H&E stain · 8 tiles cut from one stomach biopsy slide.
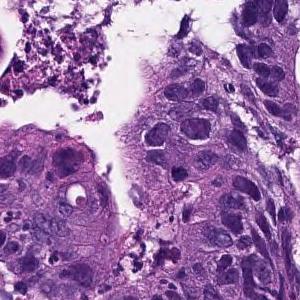
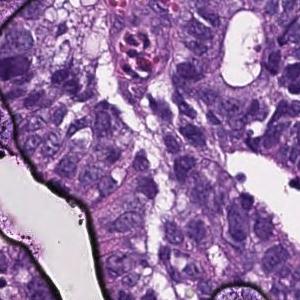
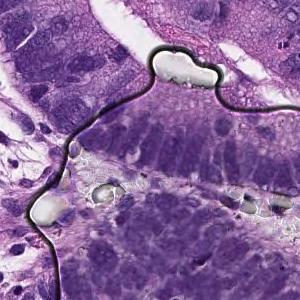
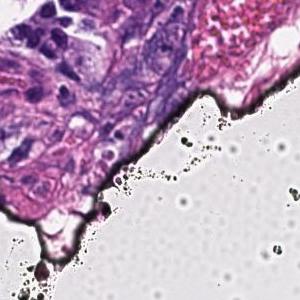
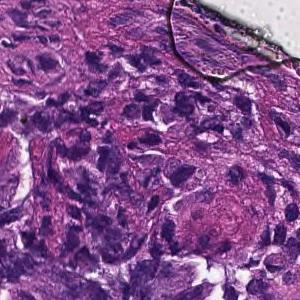
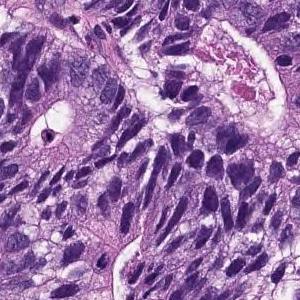
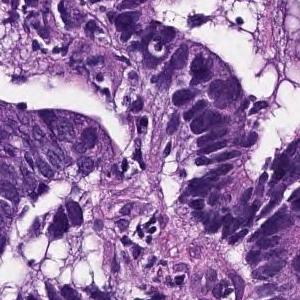
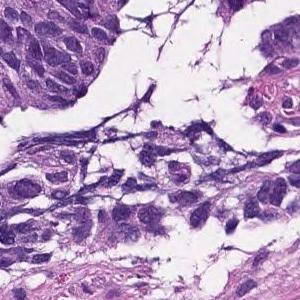
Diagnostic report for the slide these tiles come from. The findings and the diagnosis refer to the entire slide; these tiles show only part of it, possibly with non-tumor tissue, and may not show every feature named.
In the superficial epithelium, tumor tissue that invades by forming medium-sized to small, irregular ducts is observed. moderately differentiated tubular adenocarcinoma.
